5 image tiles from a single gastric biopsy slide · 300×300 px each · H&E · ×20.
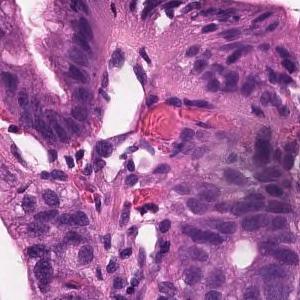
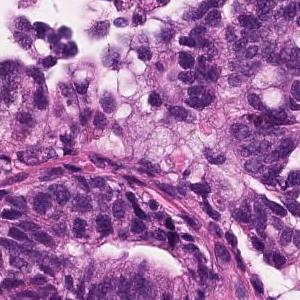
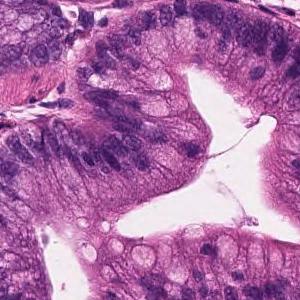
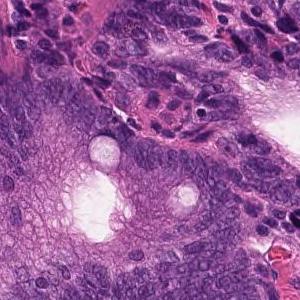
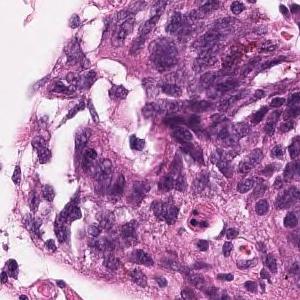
Pathology report for the biopsy slide these tiles were cut from. The report describes the whole slide, diagnosis included: not every finding it names need appear in these tiles, which may also show non-tumor tissue.
In the superficial epithelium, tumor tissue that invades by forming medium-sized to small, irregular ducts is observed. Moderately differentiated adenocarcinoma.
Histologic type: Moderately differentiated tubular adenocarcinoma.
